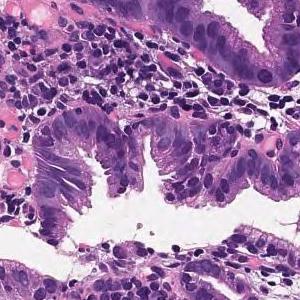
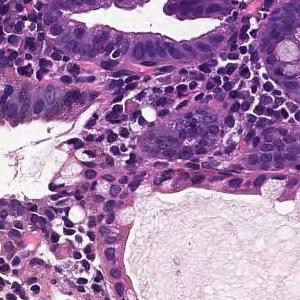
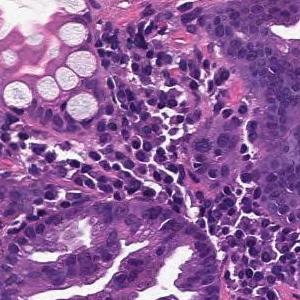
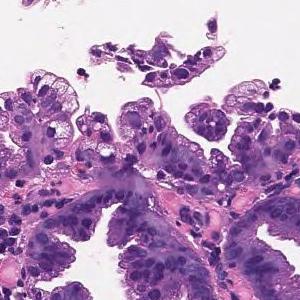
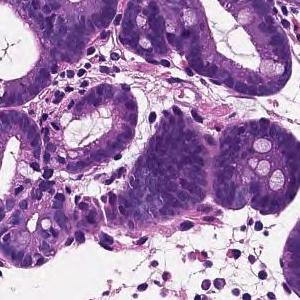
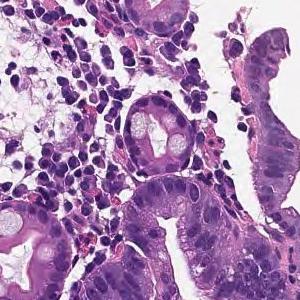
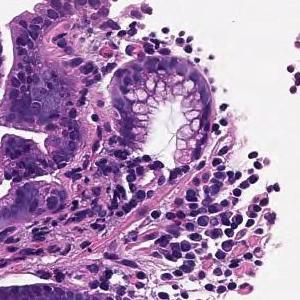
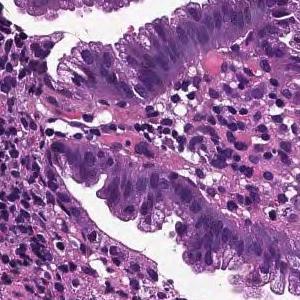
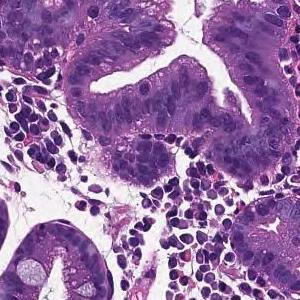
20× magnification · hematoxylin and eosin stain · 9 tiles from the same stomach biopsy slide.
Pathology report for the slide these tiles were cut from. The report and the diagnosis describe the slide as a whole, so these tiles may not show every feature named and may include non-tumor tissue.
From the superficial epithelium to the muscularis mucosae, tumor tissue consisting of medium-sized and irregular glandular ducts infiltrating is observed. Well differentiated tubular adenocarcinoma
